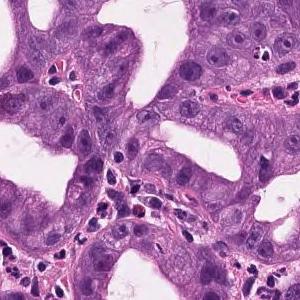
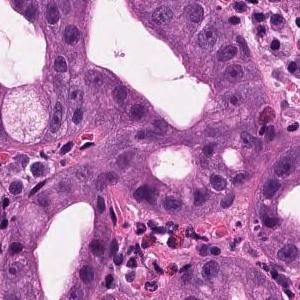
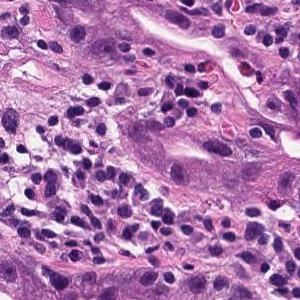
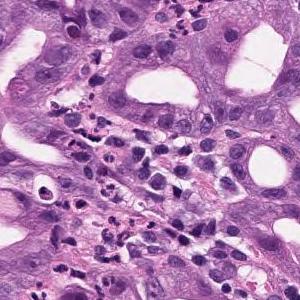
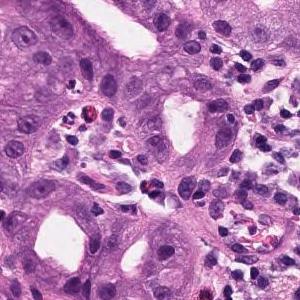
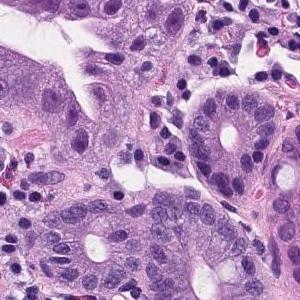
6 tiles cut from one stomach biopsy slide · 300 × 300 pixels each · scanned at ×20 · hematoxylin and eosin stain.
Diagnostic report for the slide these tiles come from. The report and the diagnosis describe the slide as a whole, so these tiles may not show every feature named and may include non-tumor tissue.
In the superficial epithelium, tumor tissue that invades by forming medium-sized to small, irregular ducts is observed. Well to moderately differentiated adenocarcinoma (well differentiated tubular adenocarcinoma, moderately differentiated tubular adenocarcinoma).
Histologic type: Well to moderately differentiated tubular adenocarcinoma.
